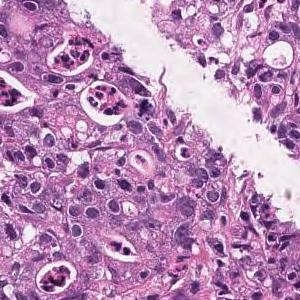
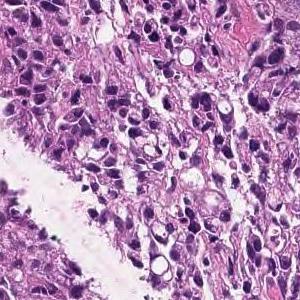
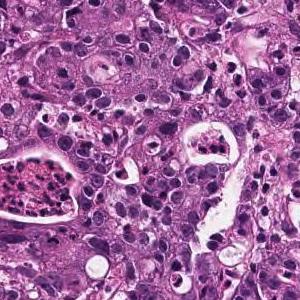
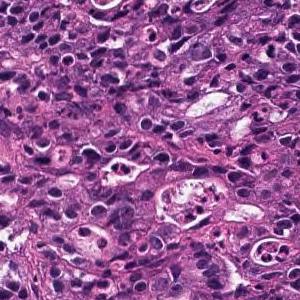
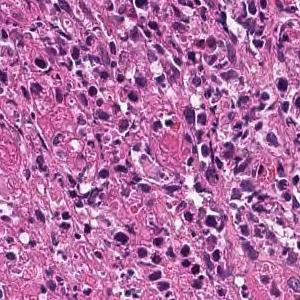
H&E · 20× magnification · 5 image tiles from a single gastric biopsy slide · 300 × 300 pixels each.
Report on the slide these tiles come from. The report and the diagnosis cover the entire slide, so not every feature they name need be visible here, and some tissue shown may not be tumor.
Medium to small, irregular glandular ducts are formed in the superficial epithelium, and in some cases, the glandular ducts are fused to show solid alveolar lesions and infiltrating tumor tissue is observed. Moderately to poorly differentiated adenocarcinoma.
